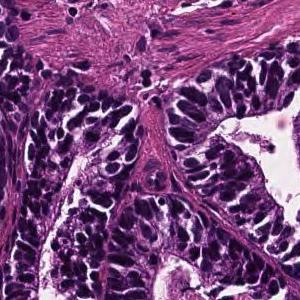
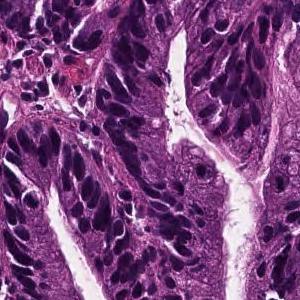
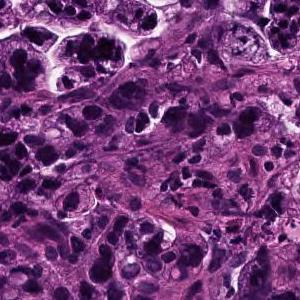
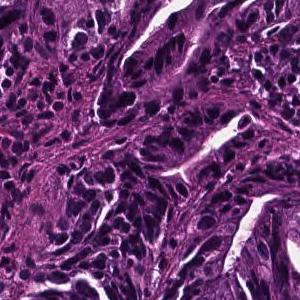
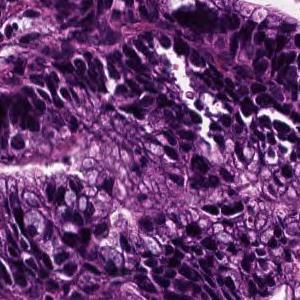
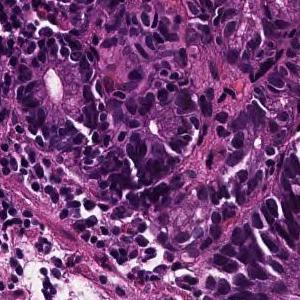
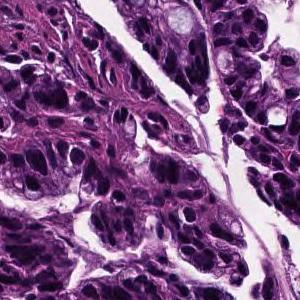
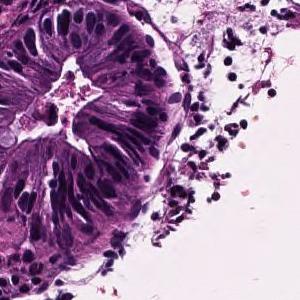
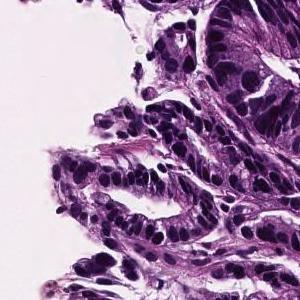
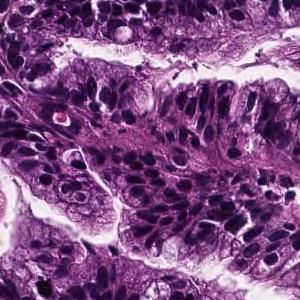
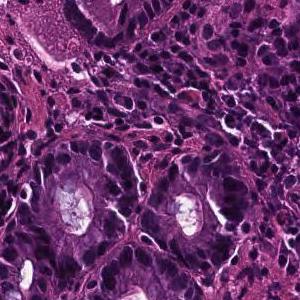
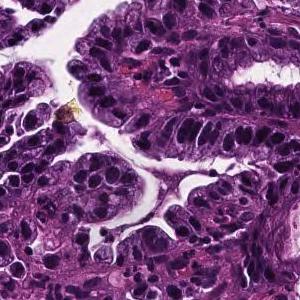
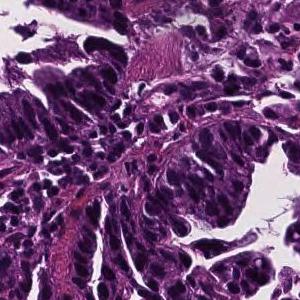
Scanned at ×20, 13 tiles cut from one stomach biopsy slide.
Pathology report for the biopsy slide these tiles were cut from. The report and the diagnosis describe the slide as a whole, so these tiles may not show every feature named and may include non-tumor tissue.
In the superficial epithelium, tumor tissue that invades by forming medium-sized to small, irregular ducts is observed. Well differentiated tubular adenocarcinoma.
